H&E; 7 tiles cut from one stomach biopsy slide; each 300 × 300 pixels.
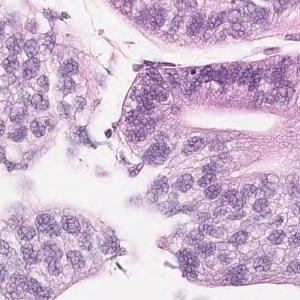
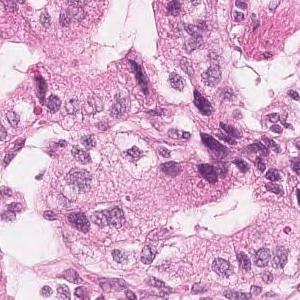
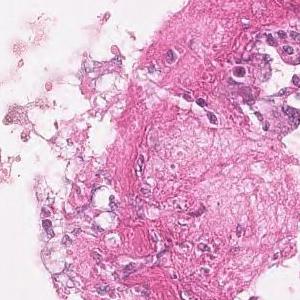
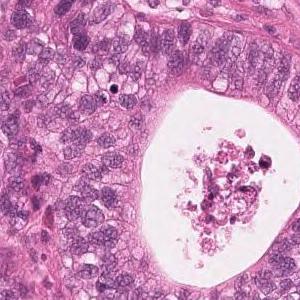
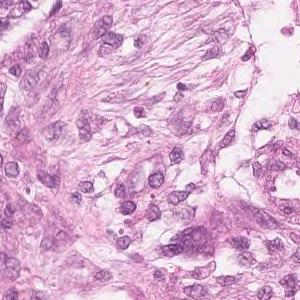
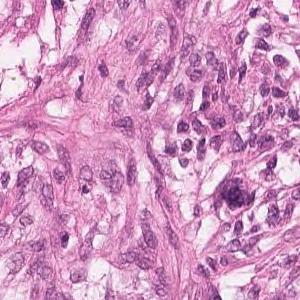
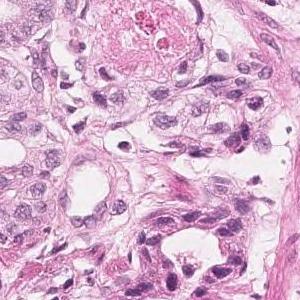
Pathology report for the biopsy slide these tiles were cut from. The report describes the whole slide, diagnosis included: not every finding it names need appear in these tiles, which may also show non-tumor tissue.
Highly columnar epithelium with disordered nuclear localization proliferates showing fusion ductal construction. moderately differentiated tubular adenocarcinoma
